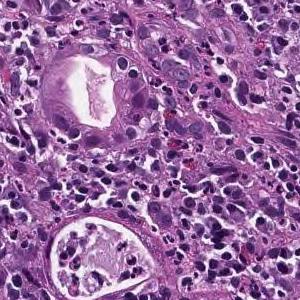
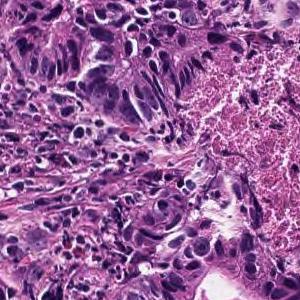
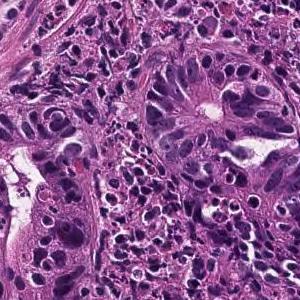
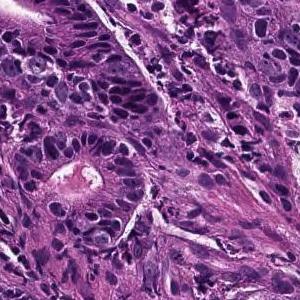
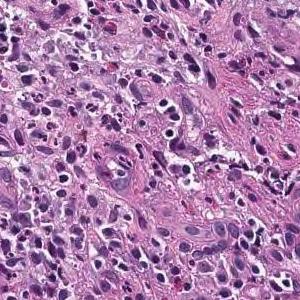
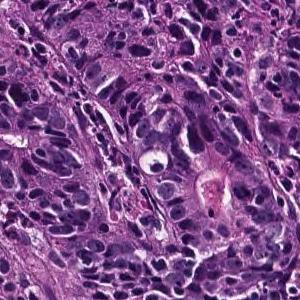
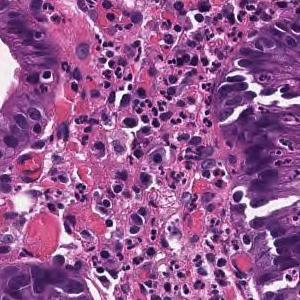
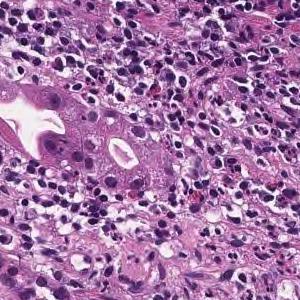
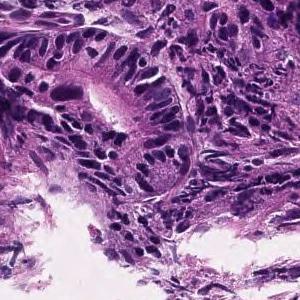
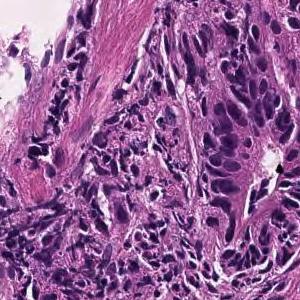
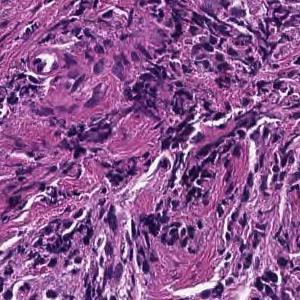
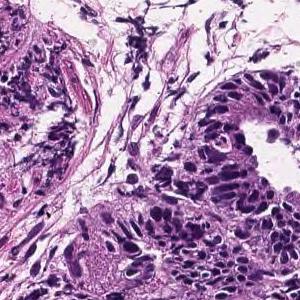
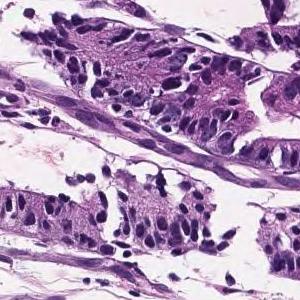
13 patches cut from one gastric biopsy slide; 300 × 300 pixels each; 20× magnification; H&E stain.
Report on the slide these tiles come from. What the report and the diagnosis say applies to the whole slide; these tiles may miss some of the features named and may include tissue that is not tumor.
On the superficial epithelium, tumor tissue consisting of large, irregular glandular ducts partially fused and infiltrated is observed. Well to moderately differentiated tubular adenocarcinoma (well differentiated tubular adenocarcinoma, moderately differentiated tubular adenocarcinoma)
Subtype: Well to moderately differentiated tubular adenocarcinoma.
